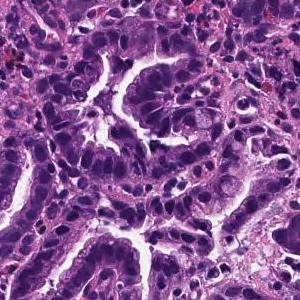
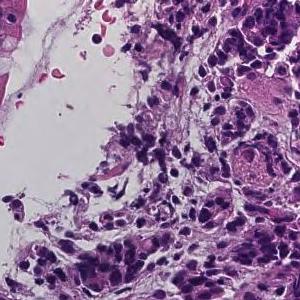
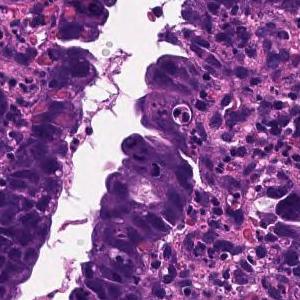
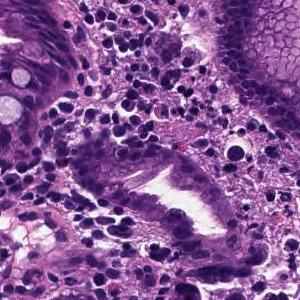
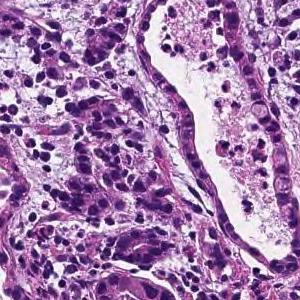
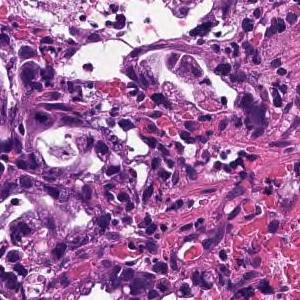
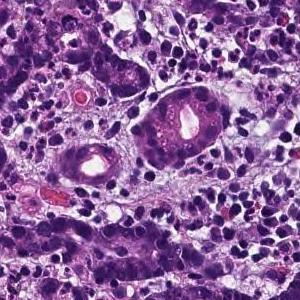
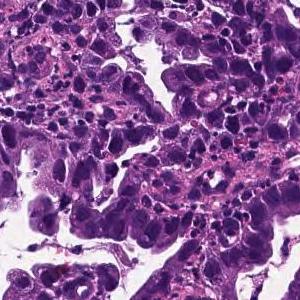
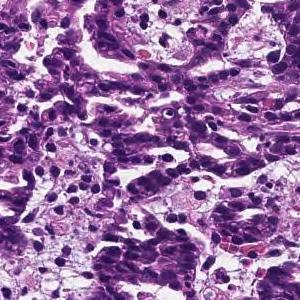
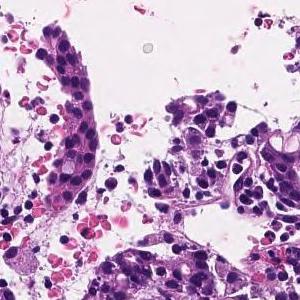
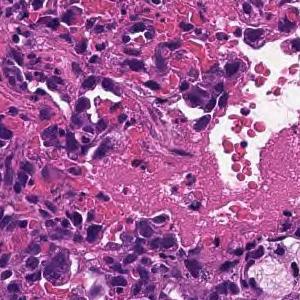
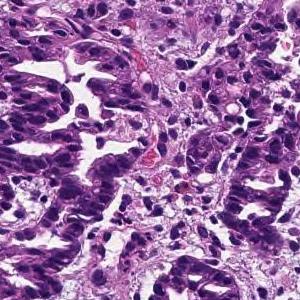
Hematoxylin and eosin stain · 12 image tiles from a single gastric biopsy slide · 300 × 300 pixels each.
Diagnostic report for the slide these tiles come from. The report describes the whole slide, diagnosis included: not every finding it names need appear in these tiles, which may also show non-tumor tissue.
In the superficial epithelium, tumor tissue that invades by forming medium-sized to small, irregular ducts is observed. moderately differentiated tubular adenocarcinoma.
